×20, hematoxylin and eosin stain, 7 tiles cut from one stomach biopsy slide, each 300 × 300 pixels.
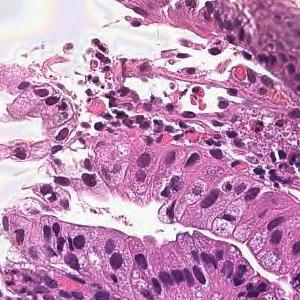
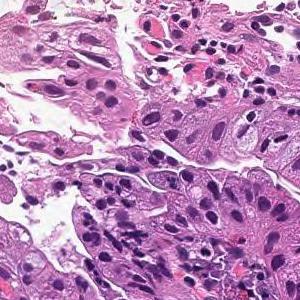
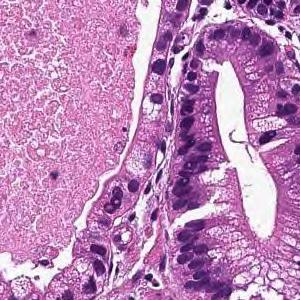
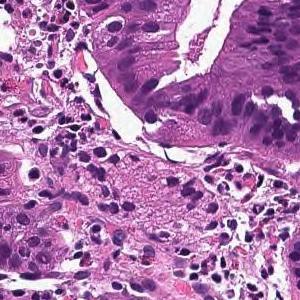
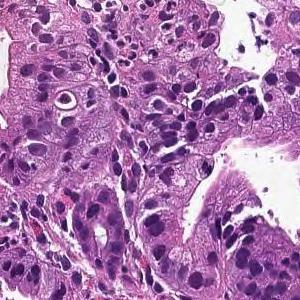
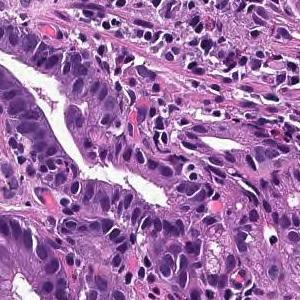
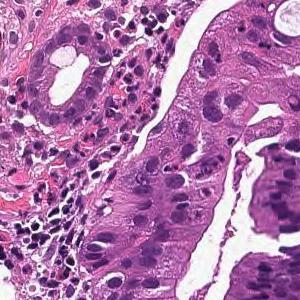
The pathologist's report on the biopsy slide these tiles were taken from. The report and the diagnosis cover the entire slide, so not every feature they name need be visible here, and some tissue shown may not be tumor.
Tumor cells are large, highly columnar, large club-shaped nuclei, and are associated with chromatin aggregation. Papillary adenocarcinoma.
